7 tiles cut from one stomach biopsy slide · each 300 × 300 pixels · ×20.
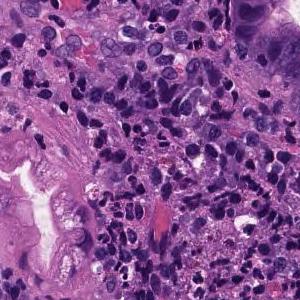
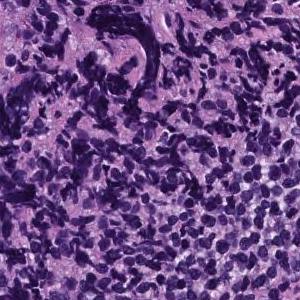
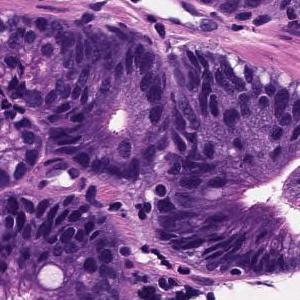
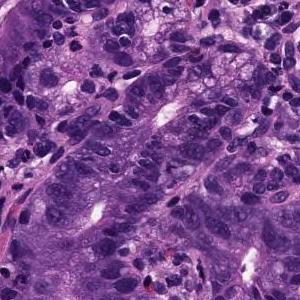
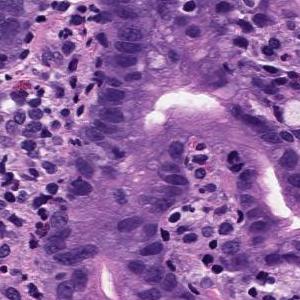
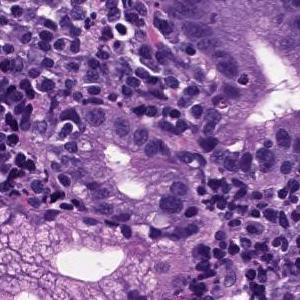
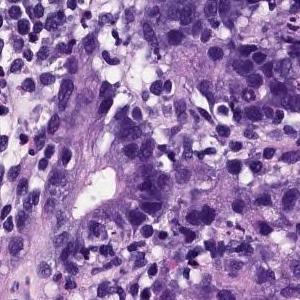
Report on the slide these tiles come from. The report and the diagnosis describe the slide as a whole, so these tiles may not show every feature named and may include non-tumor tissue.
Medium to small, irregular glandular ducts are formed in the superficial epithelium, and in some cases, the glandular ducts are fused to show solid alveolar lesions and infiltrating tumor tissue is observed. Moderately to poorly differentiated adenocarcinoma.
